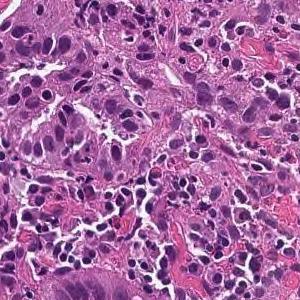
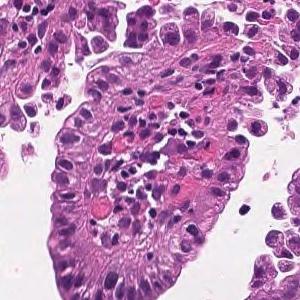
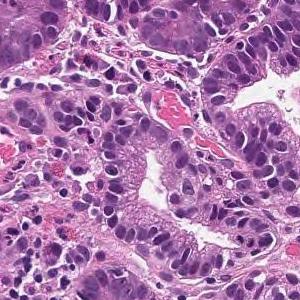
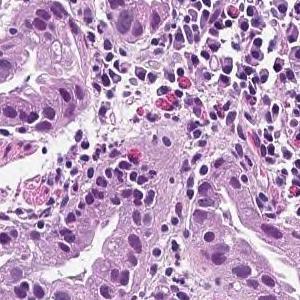
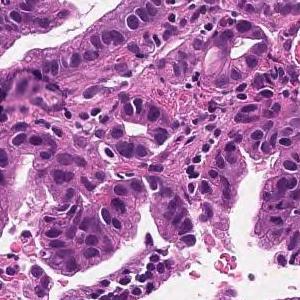
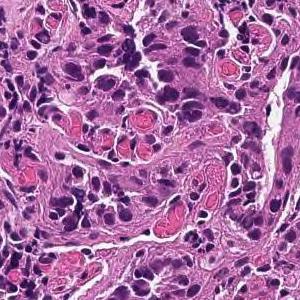
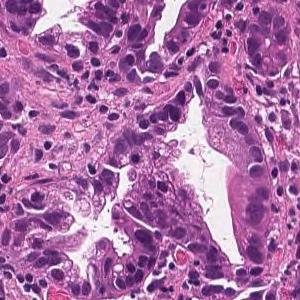
7 tiles from the same stomach biopsy slide · scanned at ×20 · H&E stain.
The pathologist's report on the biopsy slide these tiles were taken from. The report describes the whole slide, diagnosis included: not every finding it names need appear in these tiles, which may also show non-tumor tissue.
On the superficial epithelium, tumor tissue consisting of large irregular glandular ducts partially fused and infiltrated is observed. Well to moderately differentiated tubular adenocarcinoma (well differentiated tubular adenocarcinoma, moderately differentiated tubular adenocarcinoma)
Histologic type: Well to moderately differentiated tubular adenocarcinoma.
